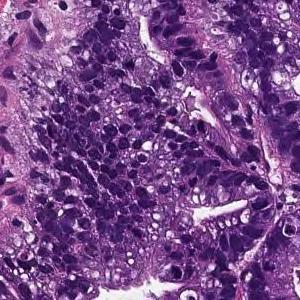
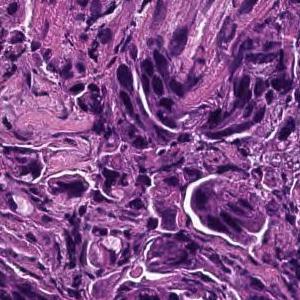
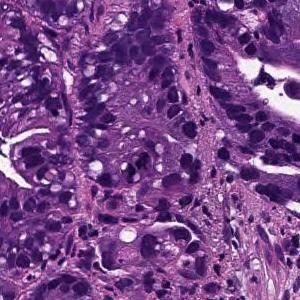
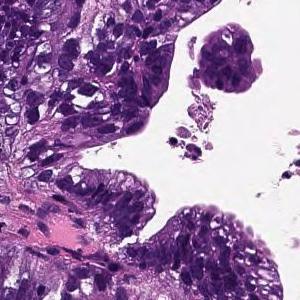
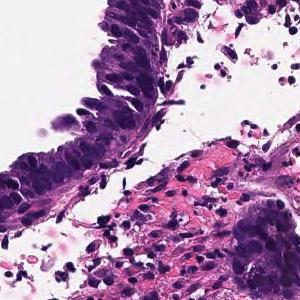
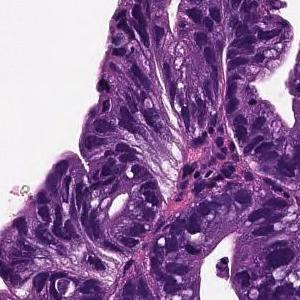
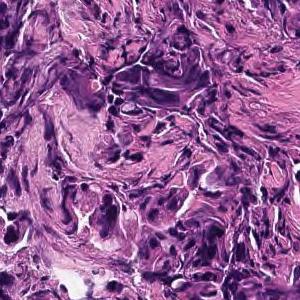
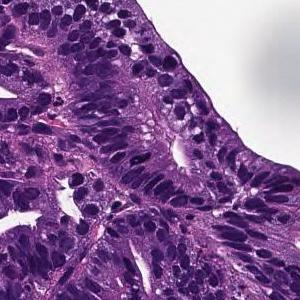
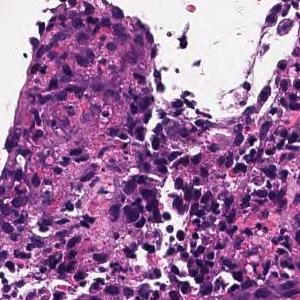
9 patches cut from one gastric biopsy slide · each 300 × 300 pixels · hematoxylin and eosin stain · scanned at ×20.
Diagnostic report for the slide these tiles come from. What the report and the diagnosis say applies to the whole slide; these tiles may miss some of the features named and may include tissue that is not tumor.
Tumor cells are large, highly columnar, large club-shaped nuclei, and are associated with chromatin aggregation. Papillary adenocarcinoma.
